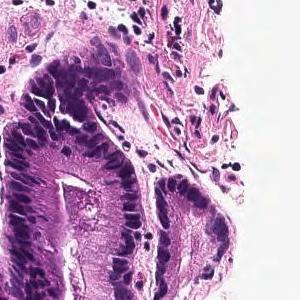
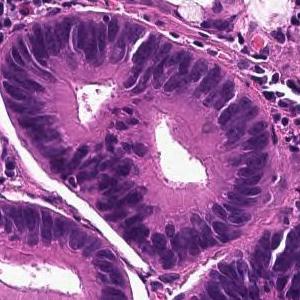
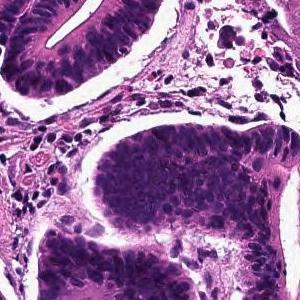
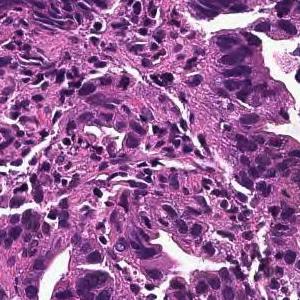
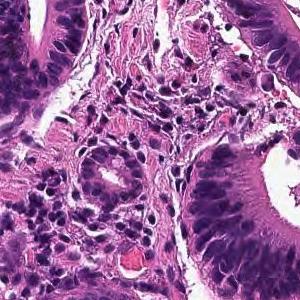
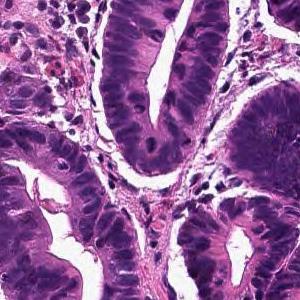
6 patches cut from one gastric biopsy slide, H&E, ×20.
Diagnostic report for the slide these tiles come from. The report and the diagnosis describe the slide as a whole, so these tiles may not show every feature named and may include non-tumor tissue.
From the superficial epithelium to the muscularis mucosae, tumor tissue consisting of medium-sized and irregular glandular ducts infiltrating is observed. Well differentiated tubular adenocarcinoma
